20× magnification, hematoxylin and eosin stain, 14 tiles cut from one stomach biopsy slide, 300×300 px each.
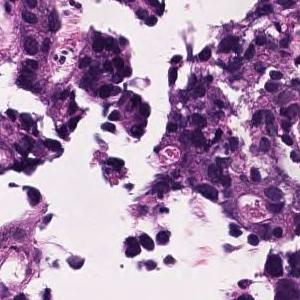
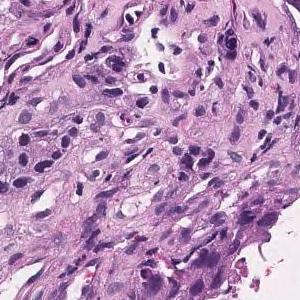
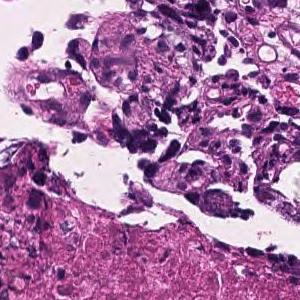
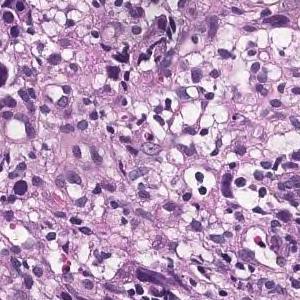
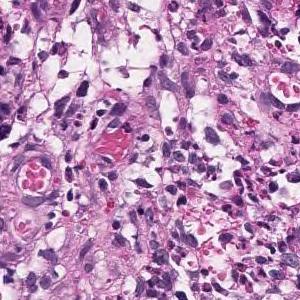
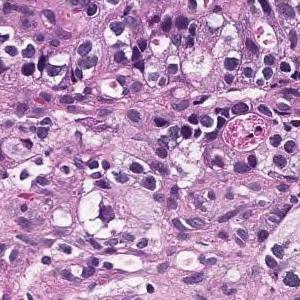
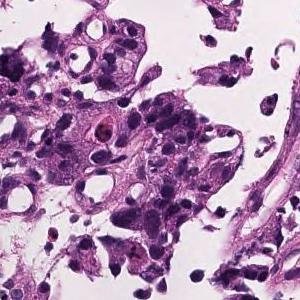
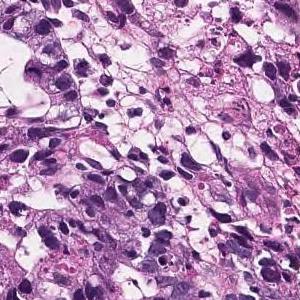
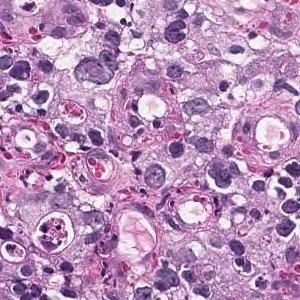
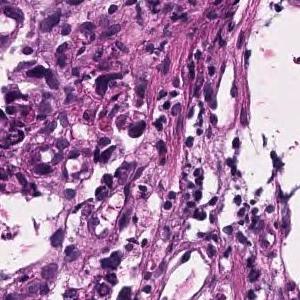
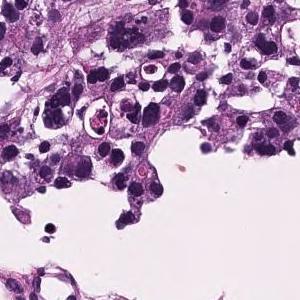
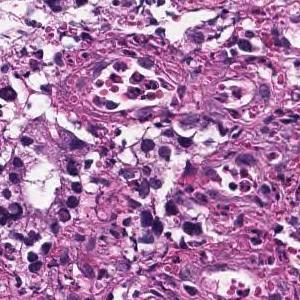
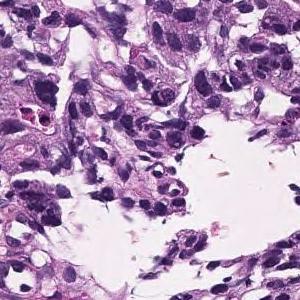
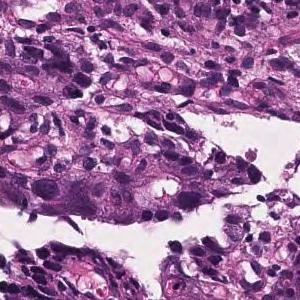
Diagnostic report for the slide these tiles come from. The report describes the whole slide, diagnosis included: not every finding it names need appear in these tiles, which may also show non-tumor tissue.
Tumor tissue consisting of medium-sized, cord-like or irregular glandular infiltration is observed in the superficial epithelium. Poorly differentiated adenocarcinoma, non-solid type or moderately differentiated tubular adenocarcinoma
The term "non-solid type" comes from the Japanese Classification of Gastric Carcinoma.
